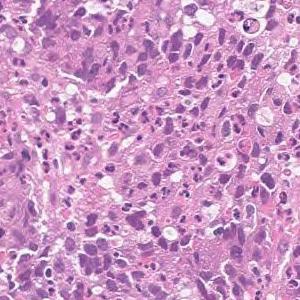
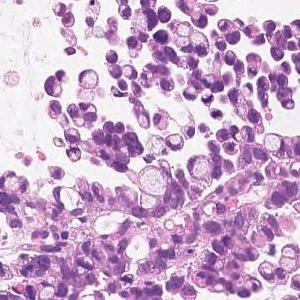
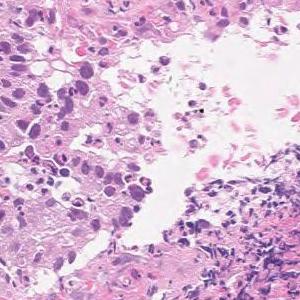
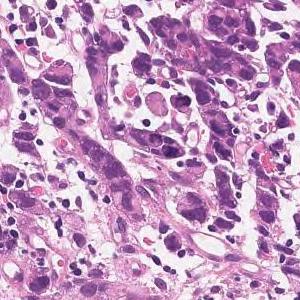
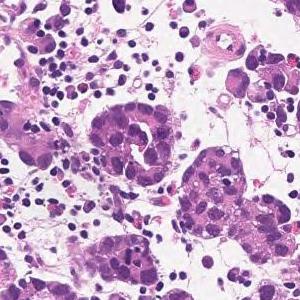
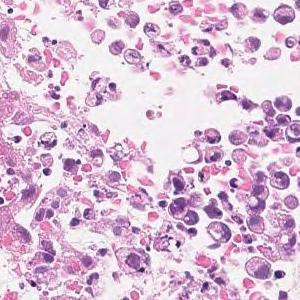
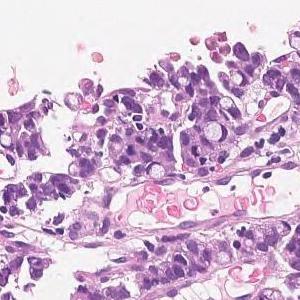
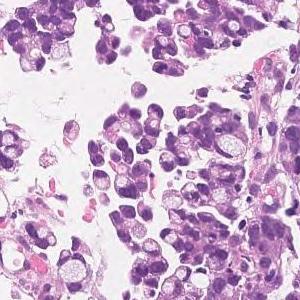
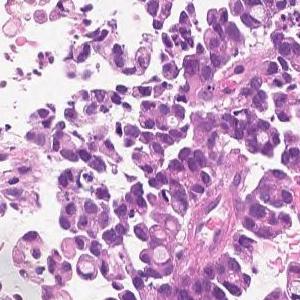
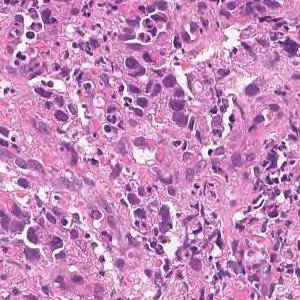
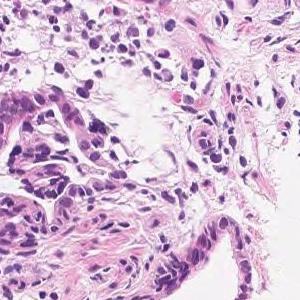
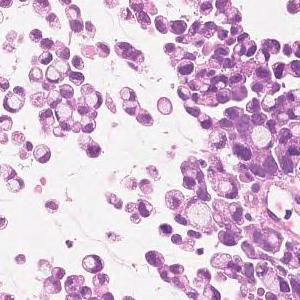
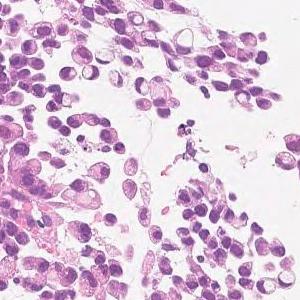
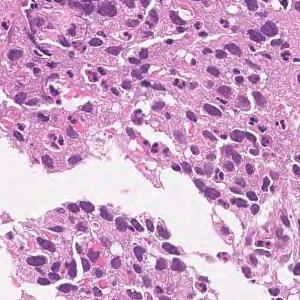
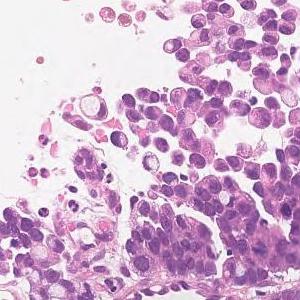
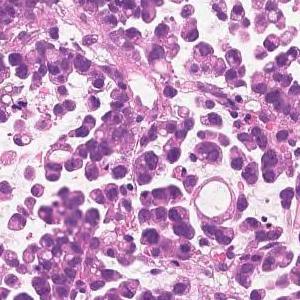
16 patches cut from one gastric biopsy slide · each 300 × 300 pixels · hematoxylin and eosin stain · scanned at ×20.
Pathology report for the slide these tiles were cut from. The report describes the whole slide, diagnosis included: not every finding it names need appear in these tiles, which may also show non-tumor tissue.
Medium to small, irregular glandular ducts are formed in the superficial epithelium, and in some cases, the glandular ducts are fused to show solid alveolar lesions and infiltrating tumor tissue is observed. Moderately to poorly differentiated adenocarcinoma.
